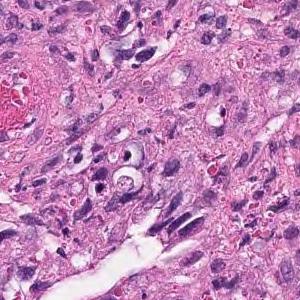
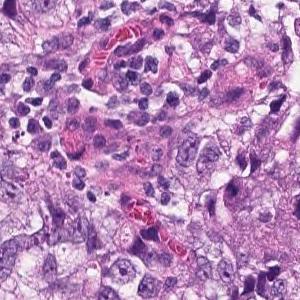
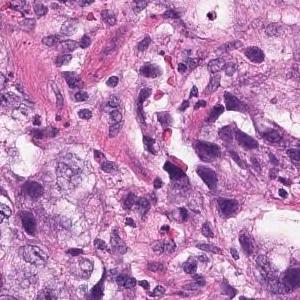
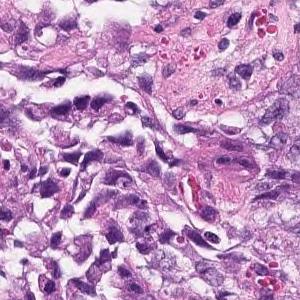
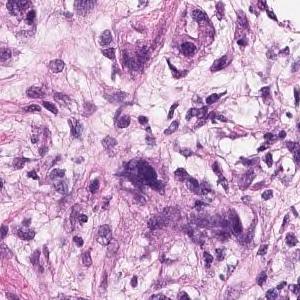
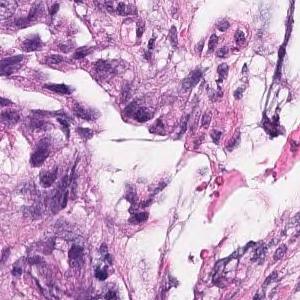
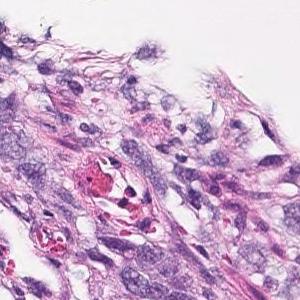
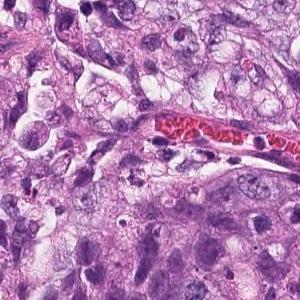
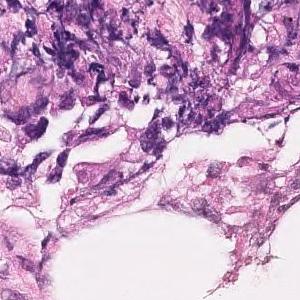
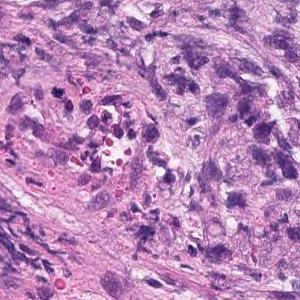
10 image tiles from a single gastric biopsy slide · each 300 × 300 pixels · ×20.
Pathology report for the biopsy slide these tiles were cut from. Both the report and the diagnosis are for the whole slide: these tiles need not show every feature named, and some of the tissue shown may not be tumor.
The superficial epithelium shows a large sheet-like shape, and some tumor tissue infiltrates with small irregular ducts. Poorly differentiated adenocarcinoma, solid-type
Classified as poorly differentiated adenocarcinoma, solid type, a category of the Japanese Classification of Gastric Carcinoma; in the WHO 2019 classification it is tubular adenocarcinoma, poorly differentiated.
